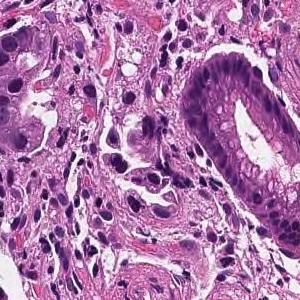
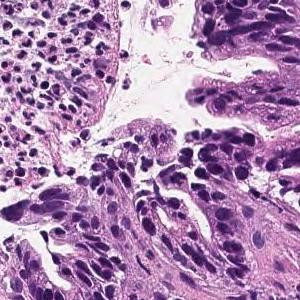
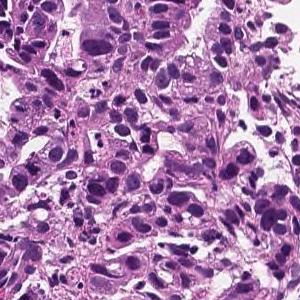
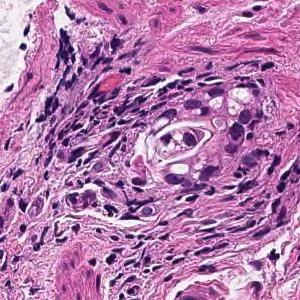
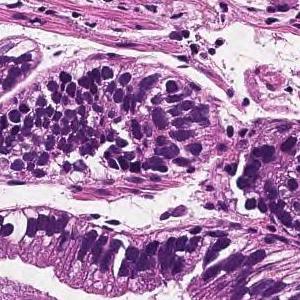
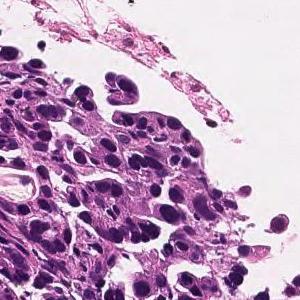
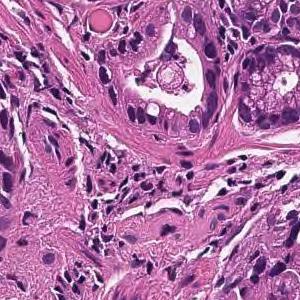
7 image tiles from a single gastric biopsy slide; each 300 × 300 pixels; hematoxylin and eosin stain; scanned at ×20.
The pathologist's report on the biopsy slide these tiles were taken from. The report and the diagnosis describe the slide as a whole, so these tiles may not show every feature named and may include non-tumor tissue.
On the superficial epithelium, tumor tissue is found in which medium-sized irregular gland ducts fuse with each other and infiltrate. moderately differentiated tubular adenocarcinoma or Poorly differentiated adenocarcinoma, non-solid type
Subtype: Moderately to poorly differentiated adenocarcinoma.
"Non-solid type" is a category of the Japanese Classification of Gastric Carcinoma.
